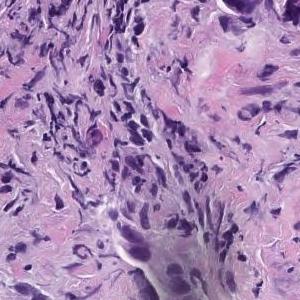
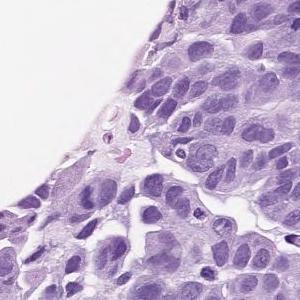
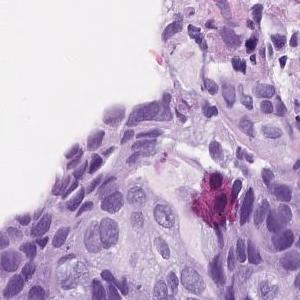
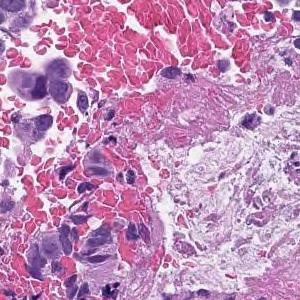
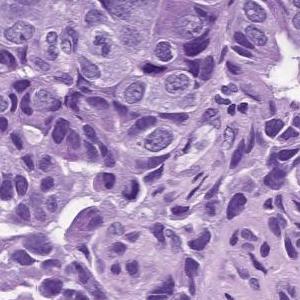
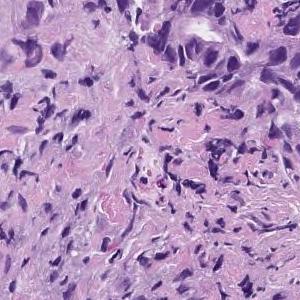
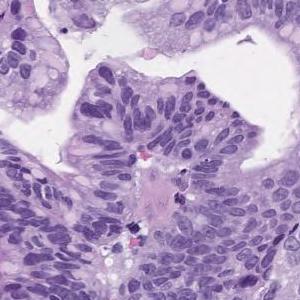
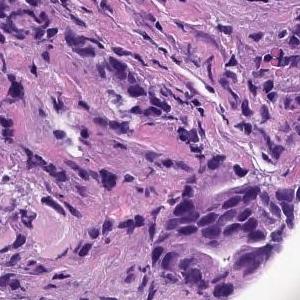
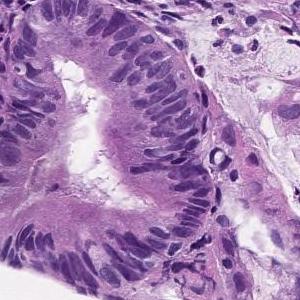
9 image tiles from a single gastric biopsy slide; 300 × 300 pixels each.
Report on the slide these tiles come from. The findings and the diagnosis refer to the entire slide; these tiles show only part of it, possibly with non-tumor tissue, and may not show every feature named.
In the superficial epithelium, tumor tissue that invades by forming medium-sized to small, irregular ducts is observed. moderately differentiated tubular adenocarcinoma.
